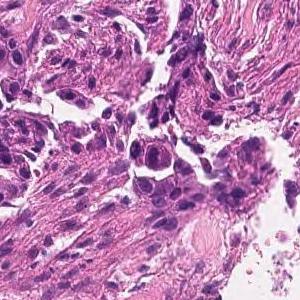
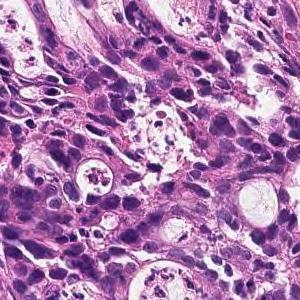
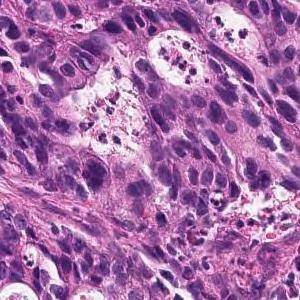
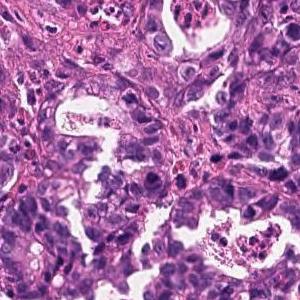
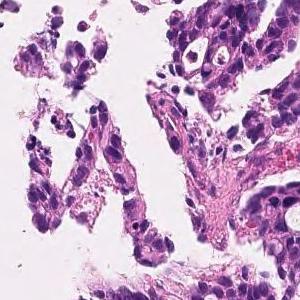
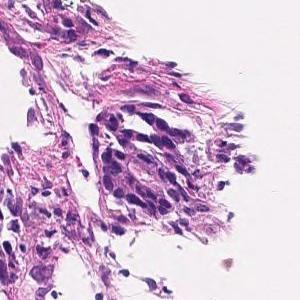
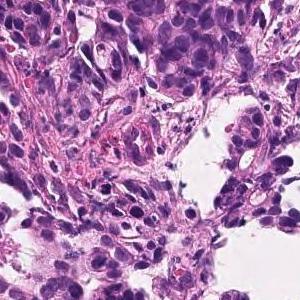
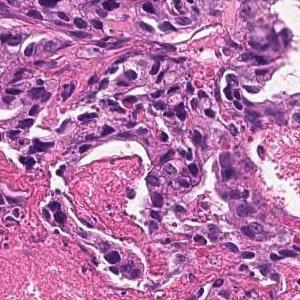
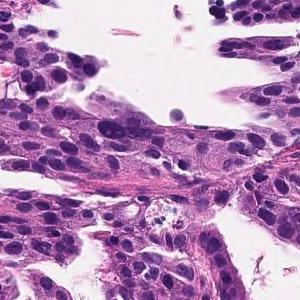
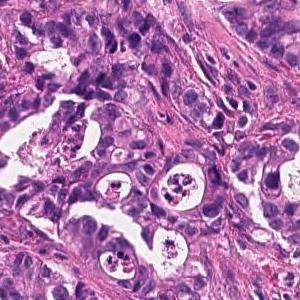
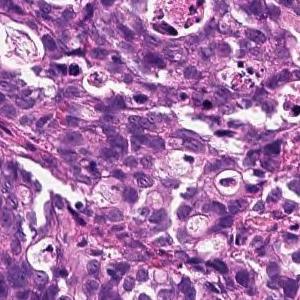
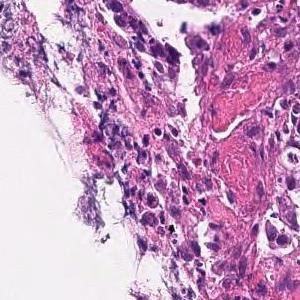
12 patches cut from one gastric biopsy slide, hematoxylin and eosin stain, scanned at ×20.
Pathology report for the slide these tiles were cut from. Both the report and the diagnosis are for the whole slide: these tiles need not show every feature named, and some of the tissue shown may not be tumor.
On the superficial epithelium, tumor tissue consisting of images of small to medium-sized and irregular tubules infiltrating with irregular fusion is observed. moderately differentiated tubular adenocarcinoma
